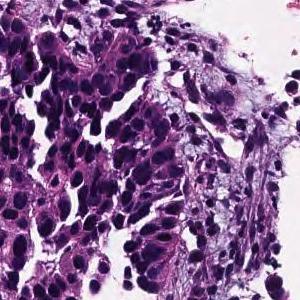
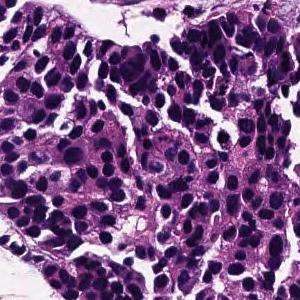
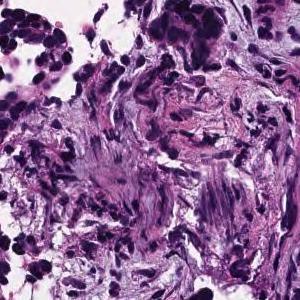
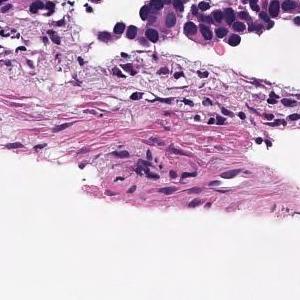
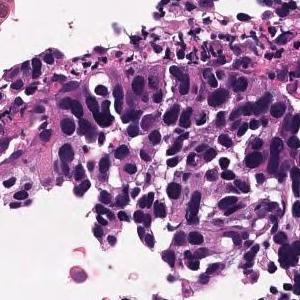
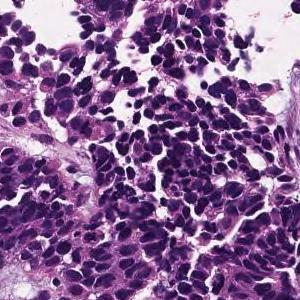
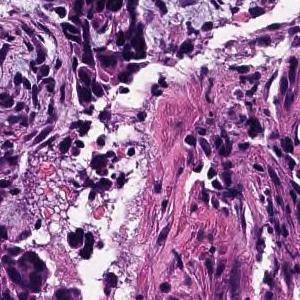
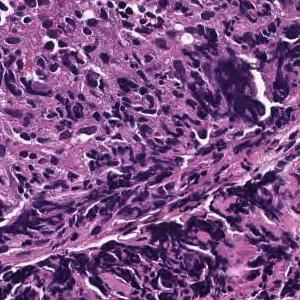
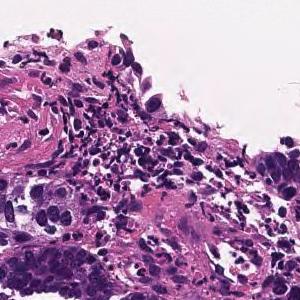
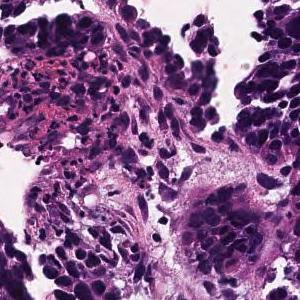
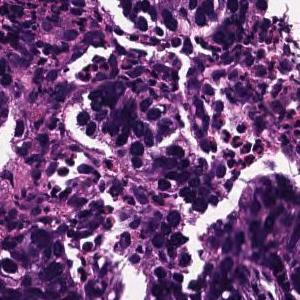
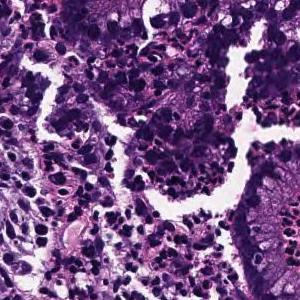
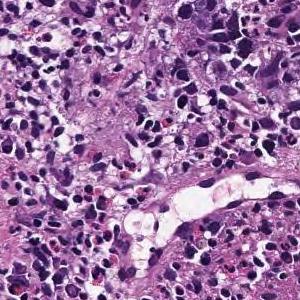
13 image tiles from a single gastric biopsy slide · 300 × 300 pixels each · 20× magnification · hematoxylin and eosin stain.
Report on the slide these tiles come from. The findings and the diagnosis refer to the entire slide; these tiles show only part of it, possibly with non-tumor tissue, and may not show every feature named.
Medium to small, irregular glandular ducts are formed in the superficial epithelium, and in some cases, the glandular ducts are fused to show solid alveolar lesions and infiltrating tumor tissue is observed. Moderately to poorly differentiated adenocarcinoma.
